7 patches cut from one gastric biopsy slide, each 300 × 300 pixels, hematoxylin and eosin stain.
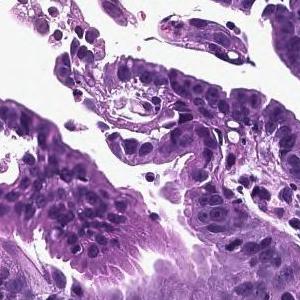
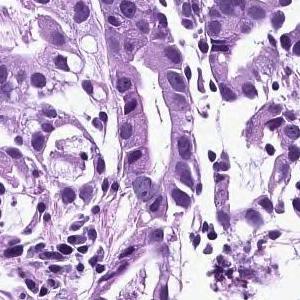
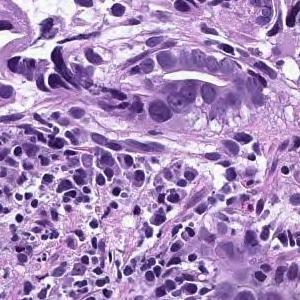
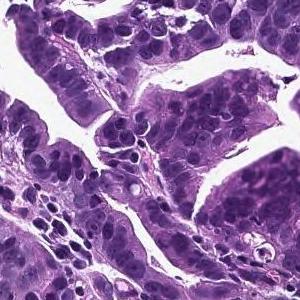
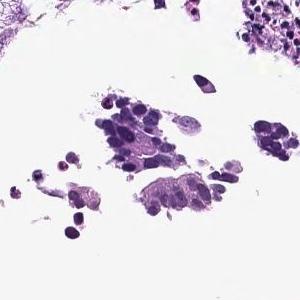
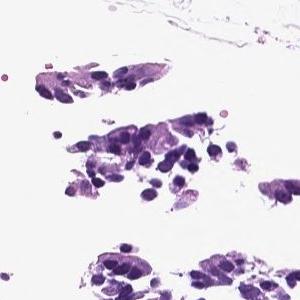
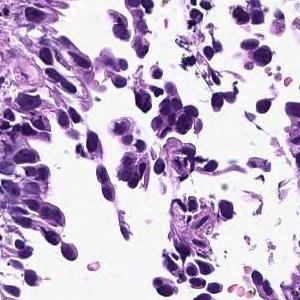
The pathologist's report on the biopsy slide these tiles were taken from. What the report and the diagnosis say applies to the whole slide; these tiles may miss some of the features named and may include tissue that is not tumor.
In the superficial epithelium, tumor tissue that invades by forming medium-sized to small, irregular ducts is observed. moderately differentiated tubular adenocarcinoma.
